H&E stain; 20× magnification; 5 tiles cut from one stomach biopsy slide.
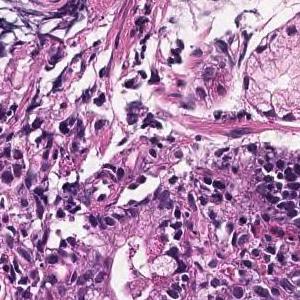
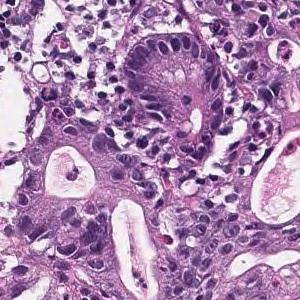
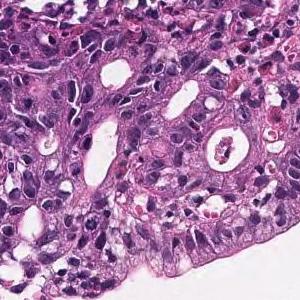
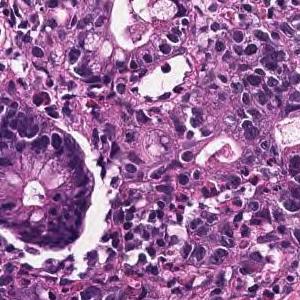
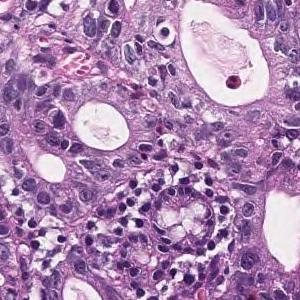
Report on the slide these tiles come from. What the report and the diagnosis say applies to the whole slide; these tiles may miss some of the features named and may include tissue that is not tumor.
In the superficial epithelium, tumor tissue that invades by forming medium-sized to small, irregular ducts is observed. Moderately differentiated adenocarcinoma.
Tumor subtype: moderately differentiated tubular adenocarcinoma.
